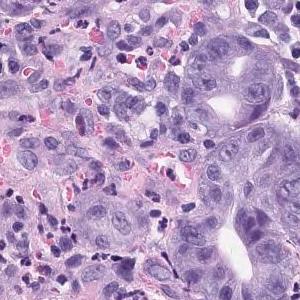
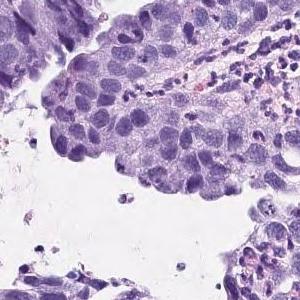
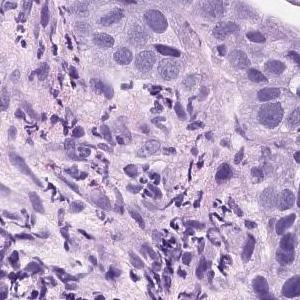
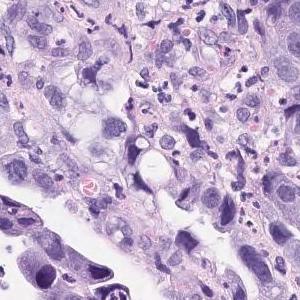
H&E · 4 tiles from the same stomach biopsy slide · 300×300 px each.
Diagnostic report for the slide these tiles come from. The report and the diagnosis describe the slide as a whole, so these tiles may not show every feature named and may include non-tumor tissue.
Atypical l cells with atypical nuclei forming solid or diffuse vesicles or small irregular atypical ducts and growing in a complex manner. Well differentiated tubular adenocarcinoma
